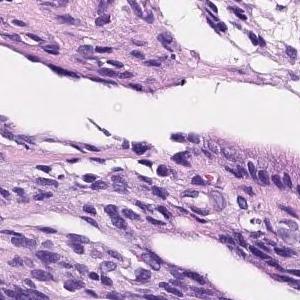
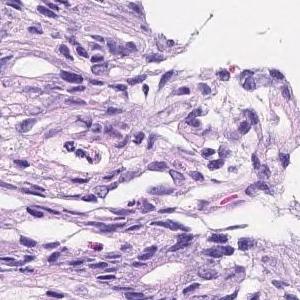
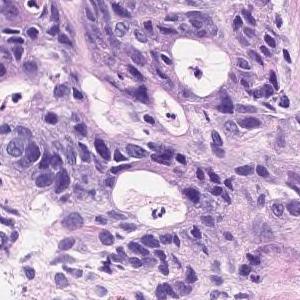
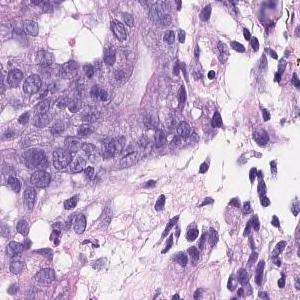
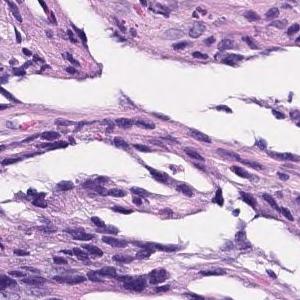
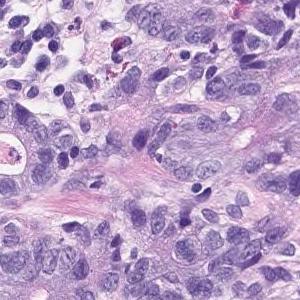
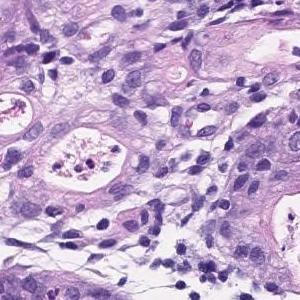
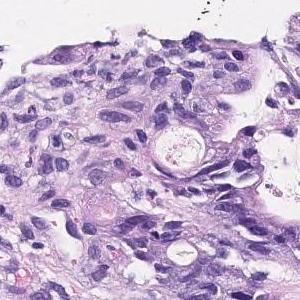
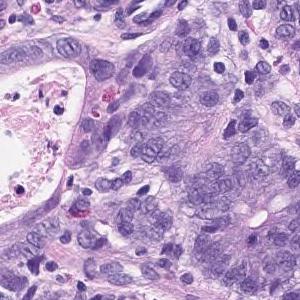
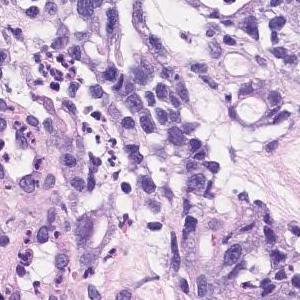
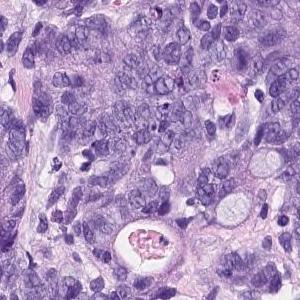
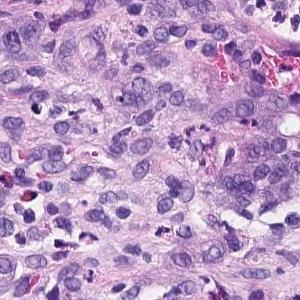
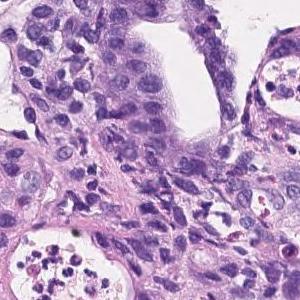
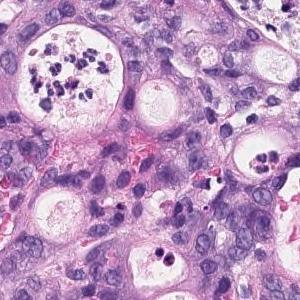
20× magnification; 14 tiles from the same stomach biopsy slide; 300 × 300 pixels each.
The pathologist's report on the biopsy slide these tiles were taken from. The findings and the diagnosis refer to the entire slide; these tiles show only part of it, possibly with non-tumor tissue, and may not show every feature named.
Irregularly fused atypical ducts proliferating while replacing existing ducts was observed. moderately differentiated tubular adenocarcinoma
